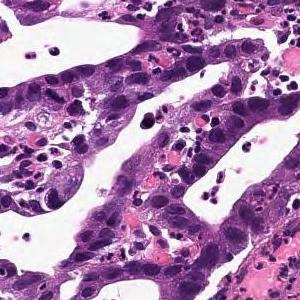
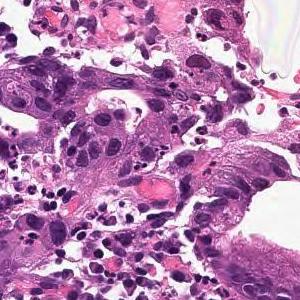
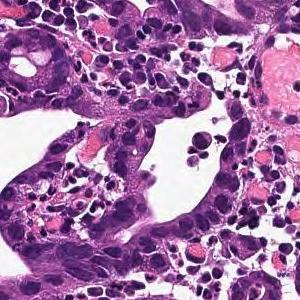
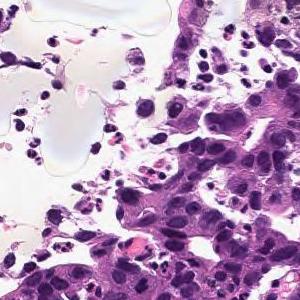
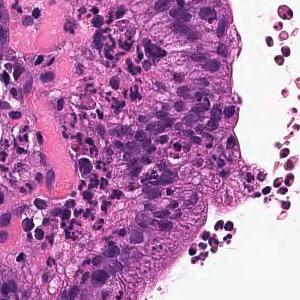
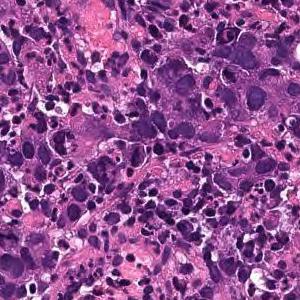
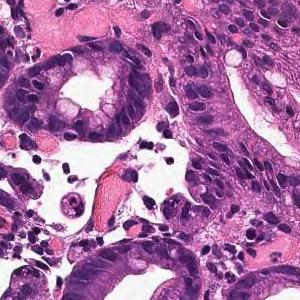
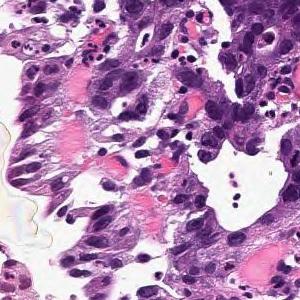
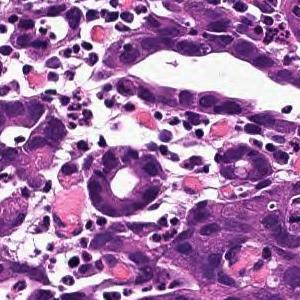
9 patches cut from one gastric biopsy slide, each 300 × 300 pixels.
The pathologist's report on the biopsy slide these tiles were taken from. The report and the diagnosis describe the slide as a whole, so these tiles may not show every feature named and may include non-tumor tissue.
On the superficial epithelium, a tumor tissue consisting of a large, irregular glandular duct partially fused and infiltrating with a small alveolar shape is observed. Well or moderately differentiated tubular adenocarcinoma (well differentiated tubular adenocarcinoma, moderately differentiated tubular adenocarcinoma)
Subtype: Well to moderately differentiated tubular adenocarcinoma.
